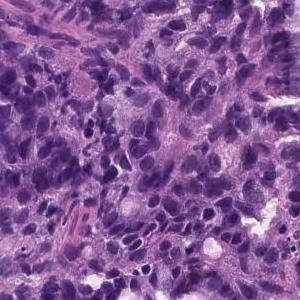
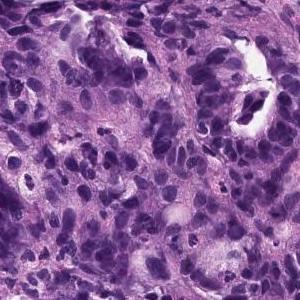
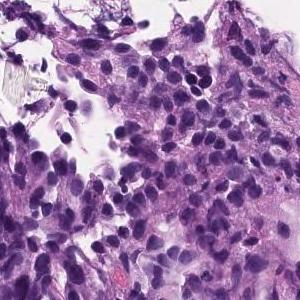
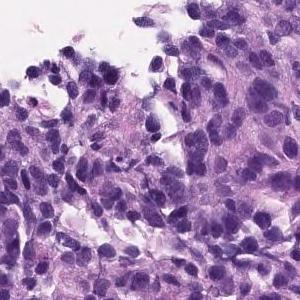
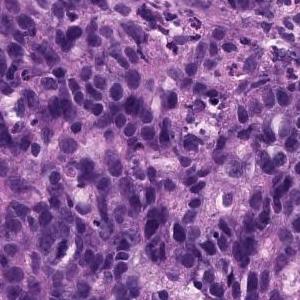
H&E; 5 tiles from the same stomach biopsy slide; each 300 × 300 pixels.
Report on the slide these tiles come from. The report describes the whole slide, diagnosis included: not every finding it names need appear in these tiles, which may also show non-tumor tissue.
Group 5, Adenocarcinoma. Poorly differentiated adenocarcinoma, non-solid type
"Non-solid type" is a category of the Japanese Classification of Gastric Carcinoma.
